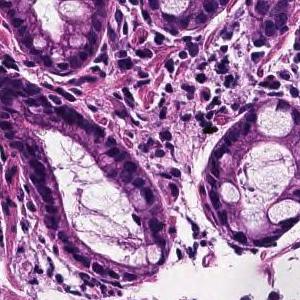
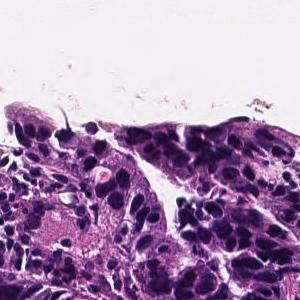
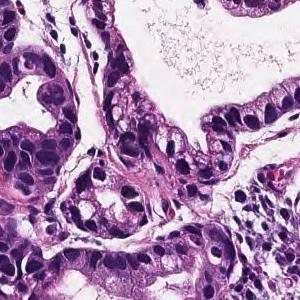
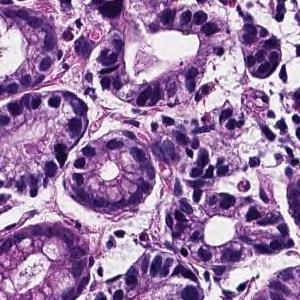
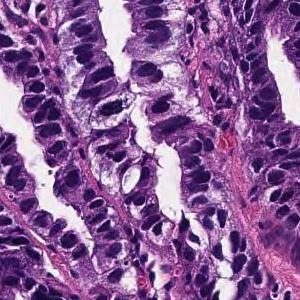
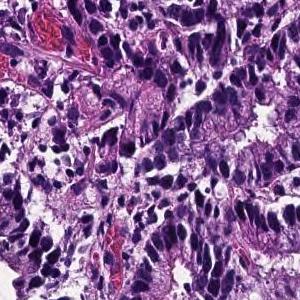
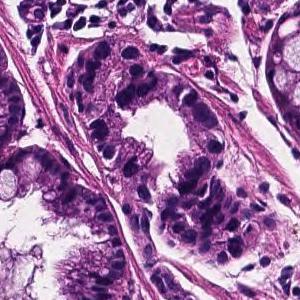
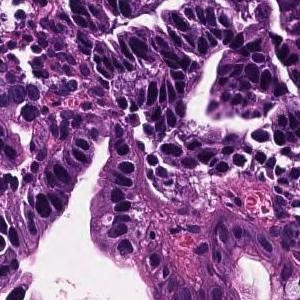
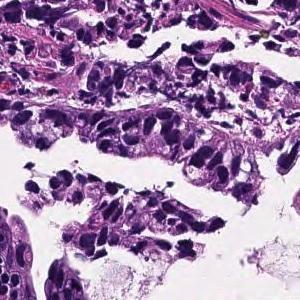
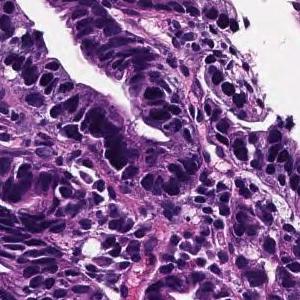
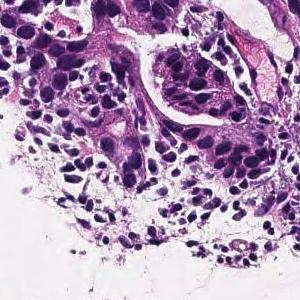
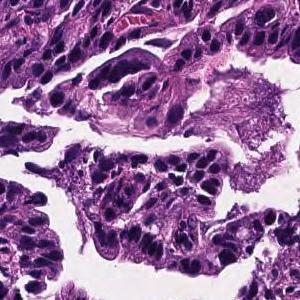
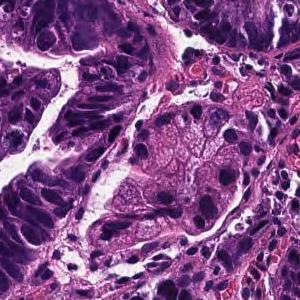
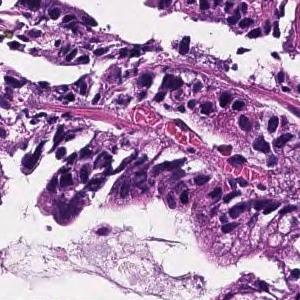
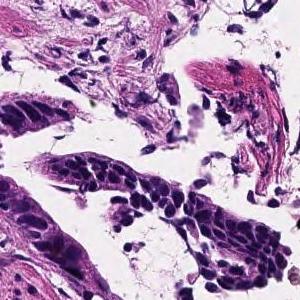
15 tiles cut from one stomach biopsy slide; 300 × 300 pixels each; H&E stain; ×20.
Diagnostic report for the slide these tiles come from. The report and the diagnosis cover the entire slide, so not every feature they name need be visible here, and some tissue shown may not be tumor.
Tumor cells are large, highly columnar, large club-shaped nuclei, and are associated with chromatin aggregation. Papillary adenocarcinoma.
